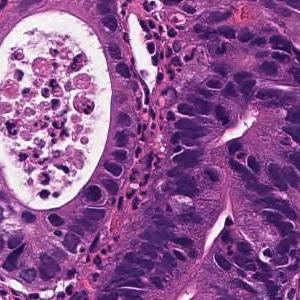
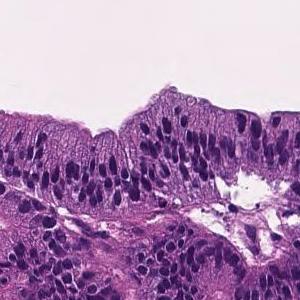
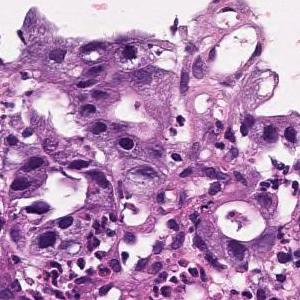
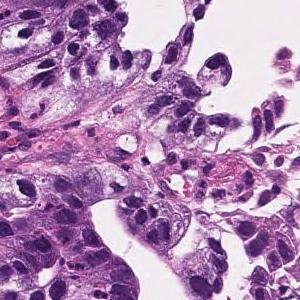
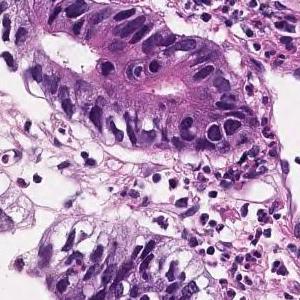
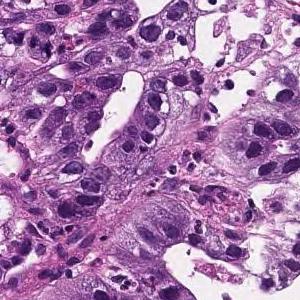
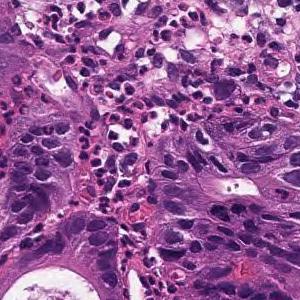
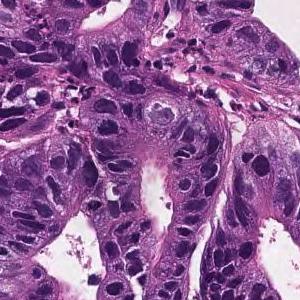
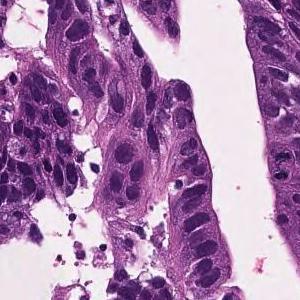
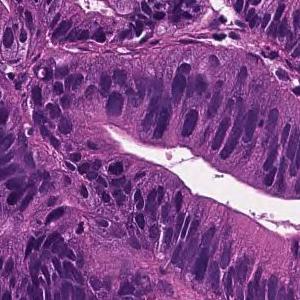
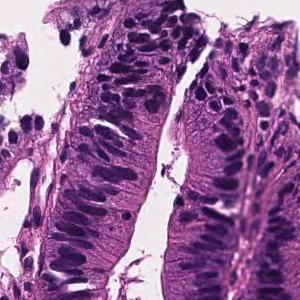
Scanned at ×20 · 11 patches cut from one gastric biopsy slide · each 300 × 300 pixels.
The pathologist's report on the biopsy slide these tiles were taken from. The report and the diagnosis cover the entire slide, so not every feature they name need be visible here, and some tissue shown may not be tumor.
Tumor cells are large, highly columnar, large club-shaped nuclei, and are associated with chromatin aggregation. Papillary adenocarcinoma.
